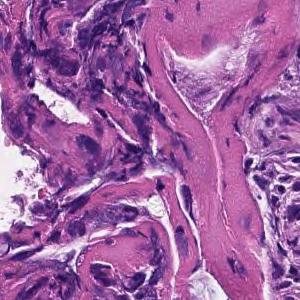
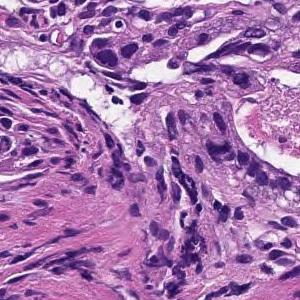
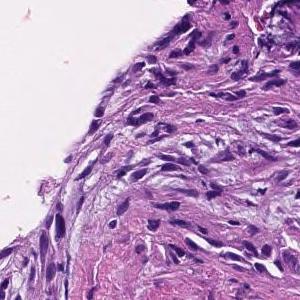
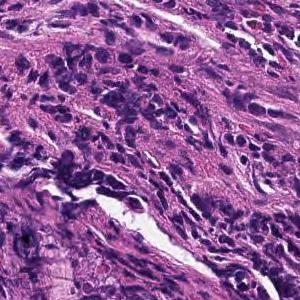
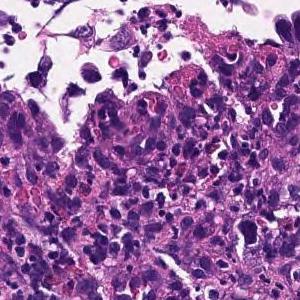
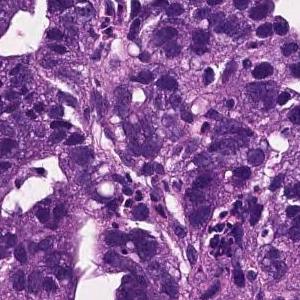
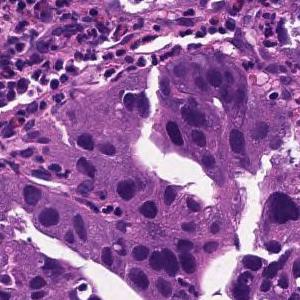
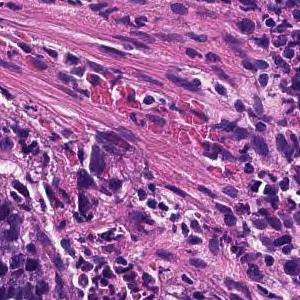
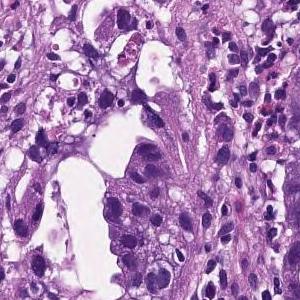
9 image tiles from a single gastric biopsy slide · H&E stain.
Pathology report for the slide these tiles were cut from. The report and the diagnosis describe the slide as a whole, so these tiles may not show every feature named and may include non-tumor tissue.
Tumor tissue consisting of large papillary structures is found in the superficial epithelium. Papillary adenocarcinoma.
